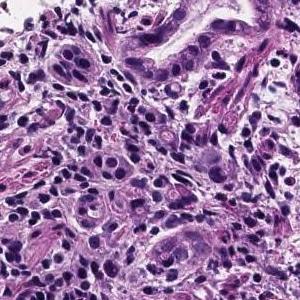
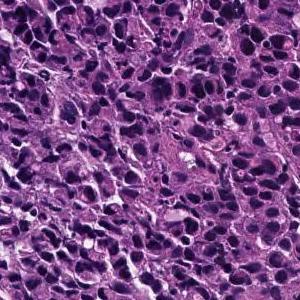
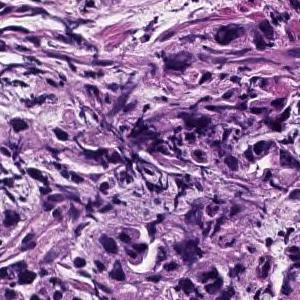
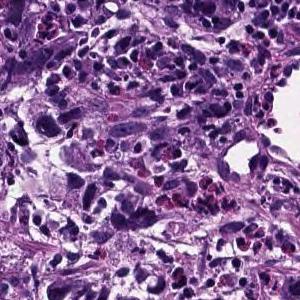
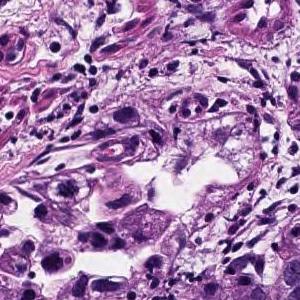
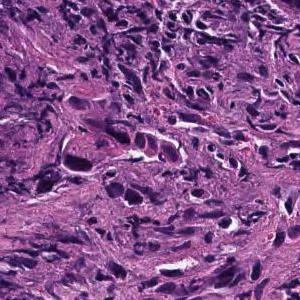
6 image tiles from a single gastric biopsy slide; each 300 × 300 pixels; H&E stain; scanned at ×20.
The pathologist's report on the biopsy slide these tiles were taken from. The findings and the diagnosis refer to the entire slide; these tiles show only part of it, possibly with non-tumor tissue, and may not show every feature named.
The superficial epithelium shows a large sheet-like shape, and some tumor tissue infiltrates with small irregular ducts. Poorly differentiated adenocarcinoma, solid-type
Histological subtype: Poorly differentiated adenocarcinoma, solid type (Japanese Classification of Gastric Carcinoma). The WHO 2019 equivalent is tubular adenocarcinoma, poorly differentiated.
